H&E stain, 20× magnification, 8 patches cut from one gastric biopsy slide, 300×300 px each.
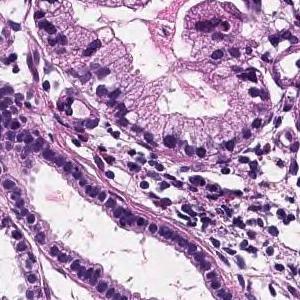
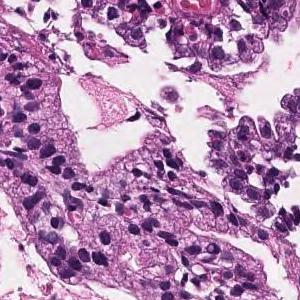
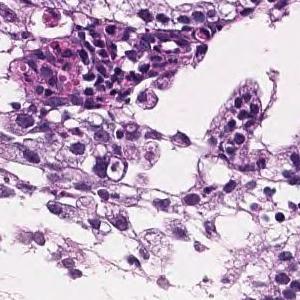
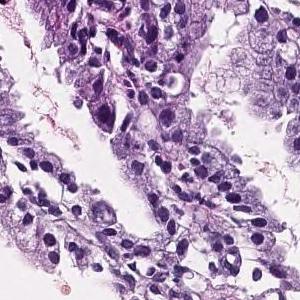
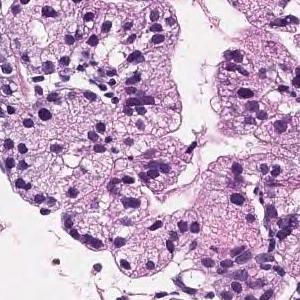
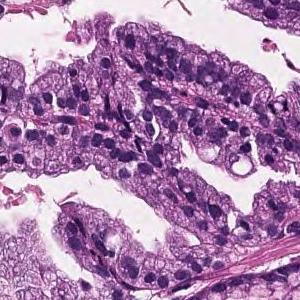
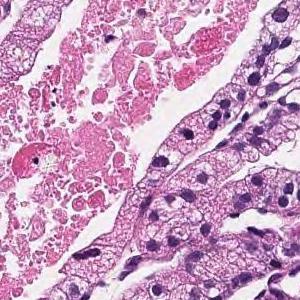
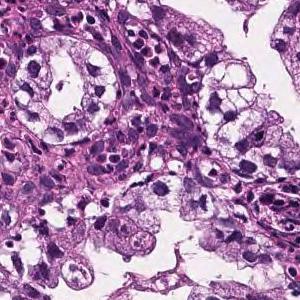
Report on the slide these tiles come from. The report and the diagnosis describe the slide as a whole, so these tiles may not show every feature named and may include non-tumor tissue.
In the superficial epithelium, tumor tissue that infiltrates by forming medium-sized papillary or small irregular ducts is observed. Papillary adenocarcinoma
